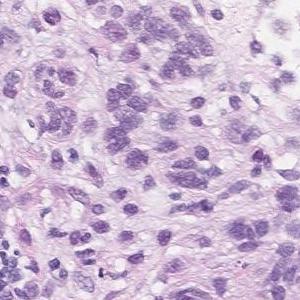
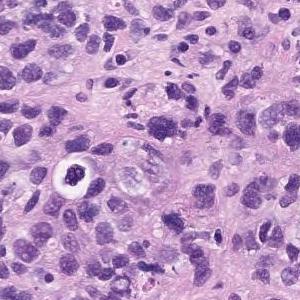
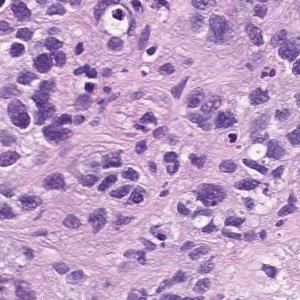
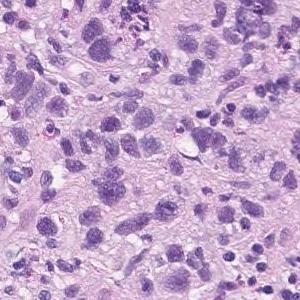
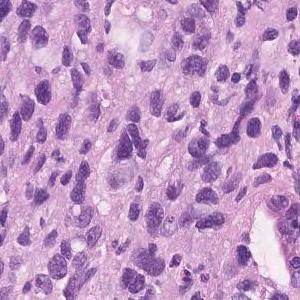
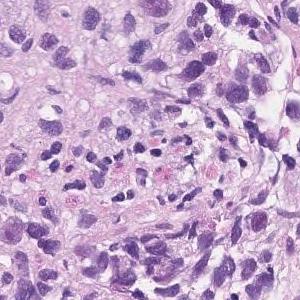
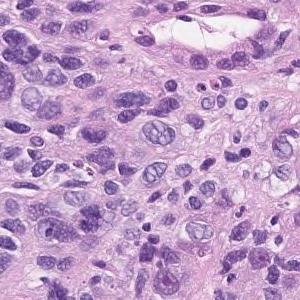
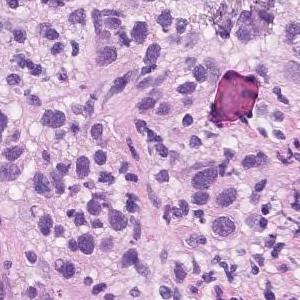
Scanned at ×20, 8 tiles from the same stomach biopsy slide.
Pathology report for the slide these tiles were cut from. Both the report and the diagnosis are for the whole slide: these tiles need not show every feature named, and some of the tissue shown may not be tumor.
Atypical l cells with atypical nuclei under the mucosa growing in isolation and scattered. Poorly differentiated adenocarcinoma (poorly differentiated adenocarcinoma, non-solid type)
Histological subtype: Poorly differentiated adenocarcinoma, non-solid type.
"Non-solid type" is a category of the Japanese Classification of Gastric Carcinoma.
